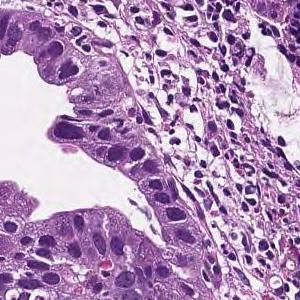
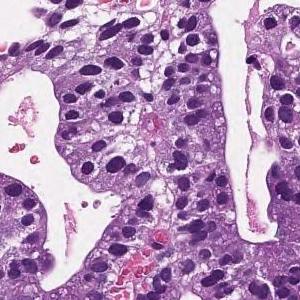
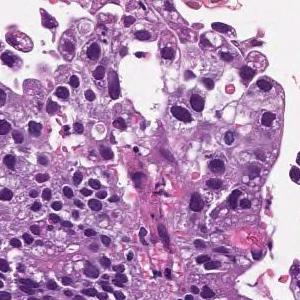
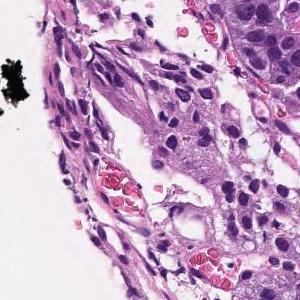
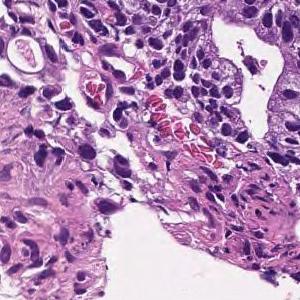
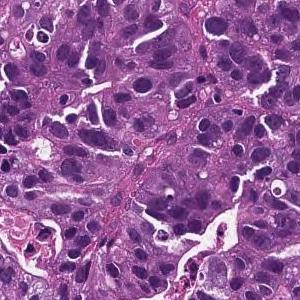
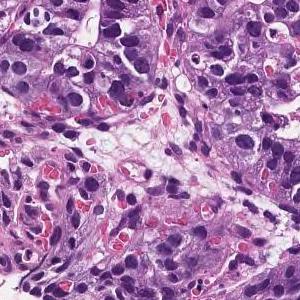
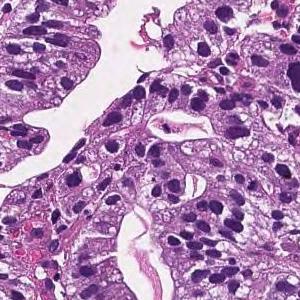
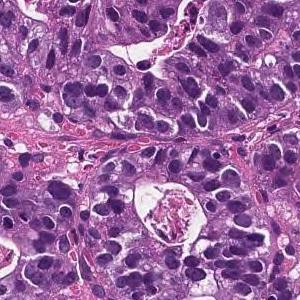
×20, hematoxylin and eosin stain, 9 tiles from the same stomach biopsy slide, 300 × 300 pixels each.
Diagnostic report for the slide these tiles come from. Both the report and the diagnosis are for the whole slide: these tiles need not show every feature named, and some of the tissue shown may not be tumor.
On the superficial epithelium, tumor tissue consisting of large, irregular glandular ducts partially fused and infiltrated is observed. Well to moderately differentiated tubular adenocarcinoma (well differentiated tubular adenocarcinoma, moderately differentiated tubular adenocarcinoma)
Classified as well to moderately differentiated tubular adenocarcinoma.
